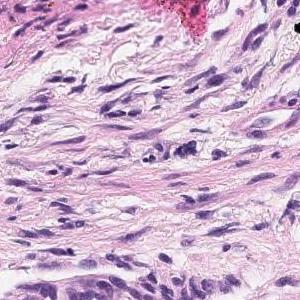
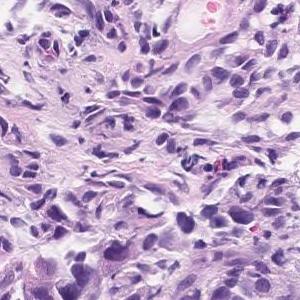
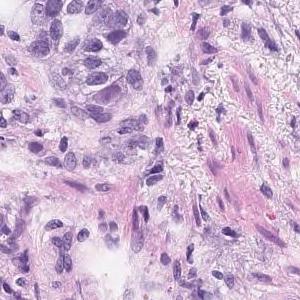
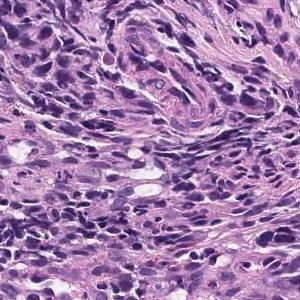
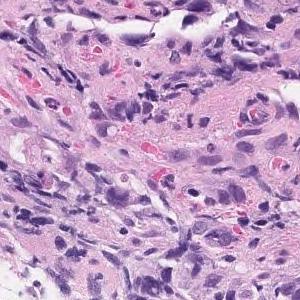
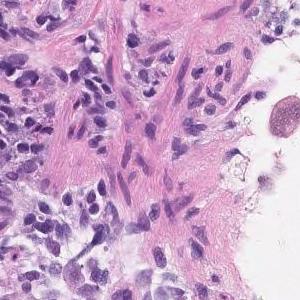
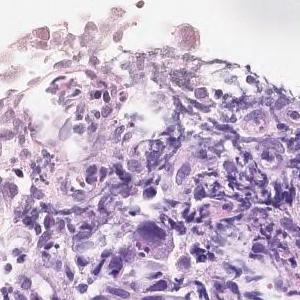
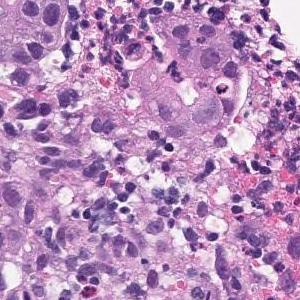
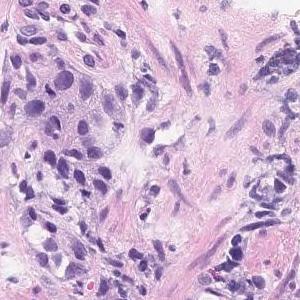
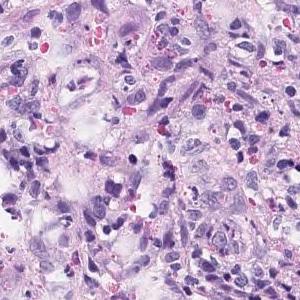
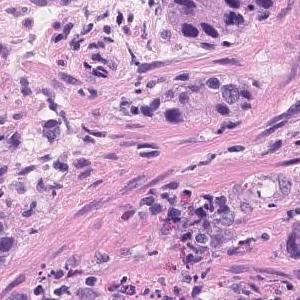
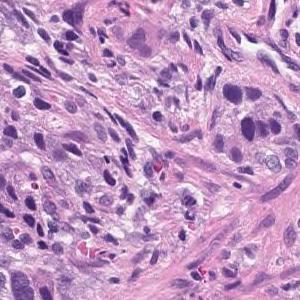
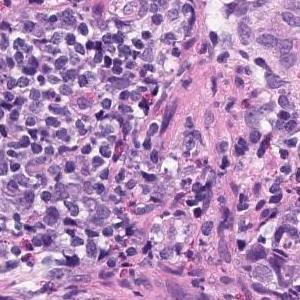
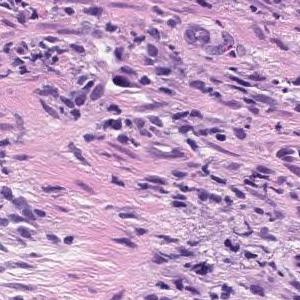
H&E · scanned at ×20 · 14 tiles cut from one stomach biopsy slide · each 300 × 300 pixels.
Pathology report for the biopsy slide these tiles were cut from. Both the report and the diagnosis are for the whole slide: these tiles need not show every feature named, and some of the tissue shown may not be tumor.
Group 5, Moderately differentiated adenocarcinoma
Classified as moderately differentiated tubular adenocarcinoma.
